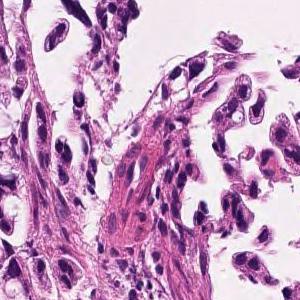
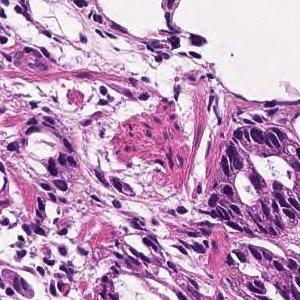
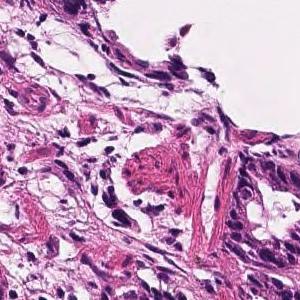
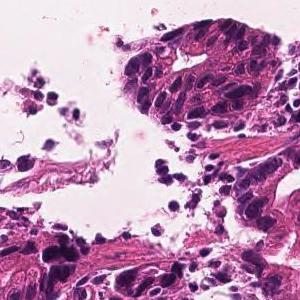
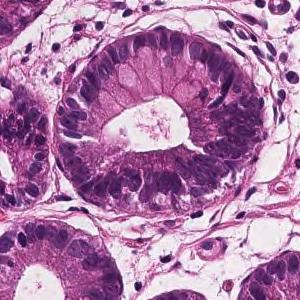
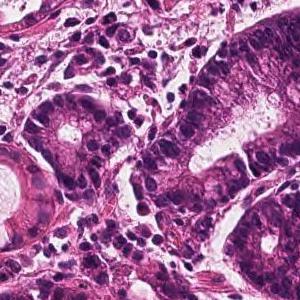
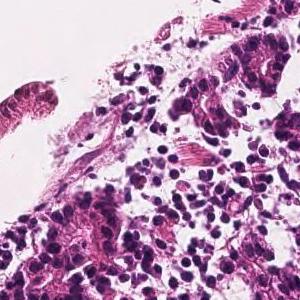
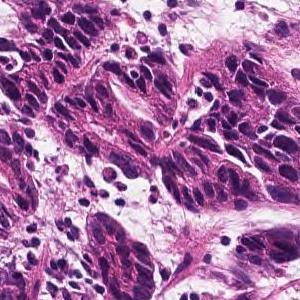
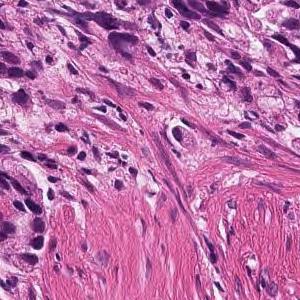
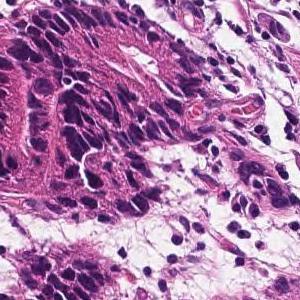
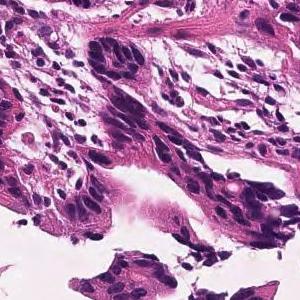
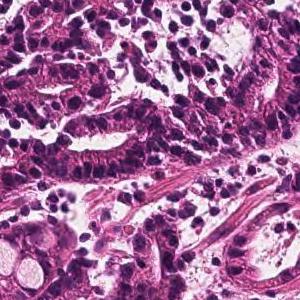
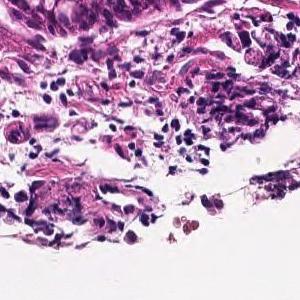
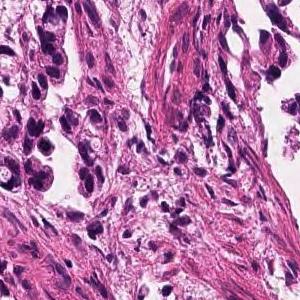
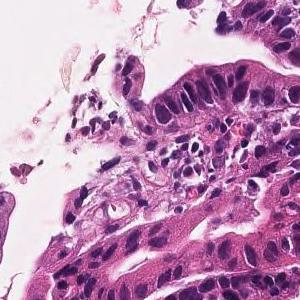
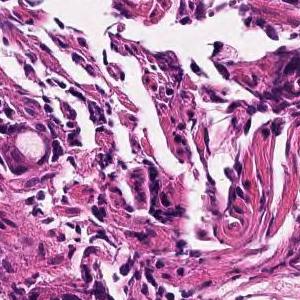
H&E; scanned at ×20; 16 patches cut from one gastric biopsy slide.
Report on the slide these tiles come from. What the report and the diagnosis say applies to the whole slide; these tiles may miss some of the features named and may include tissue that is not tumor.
In the superficial epithelium, tumor tissue that invades by forming medium-sized to small, irregular ducts is observed. moderately differentiated tubular adenocarcinoma.
